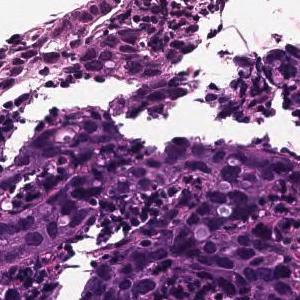
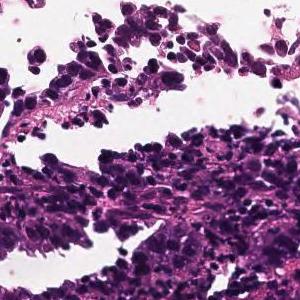
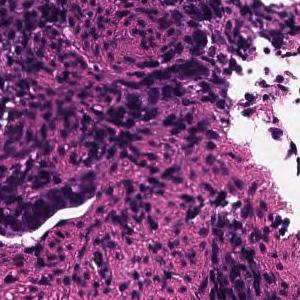
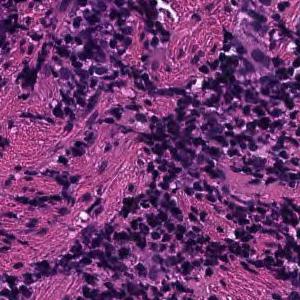
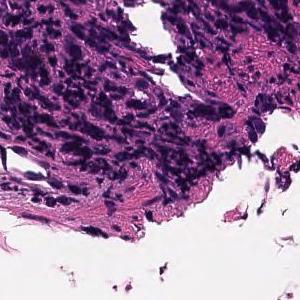
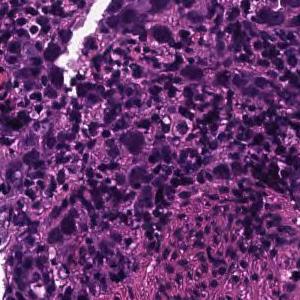
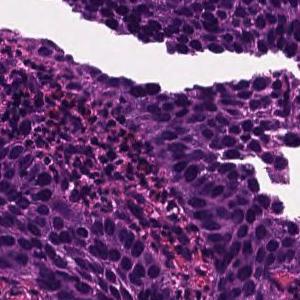
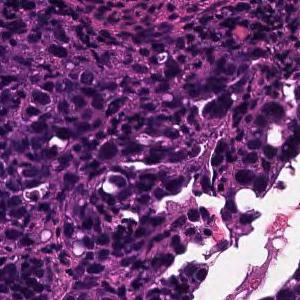
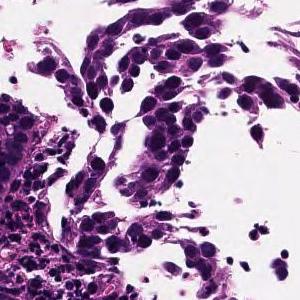
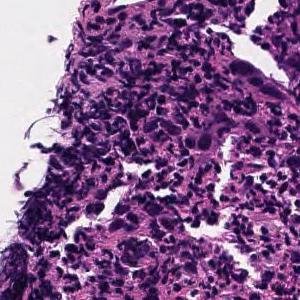
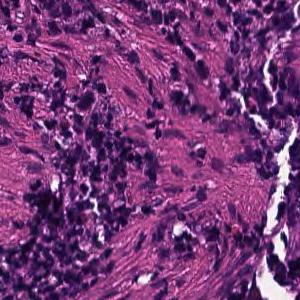
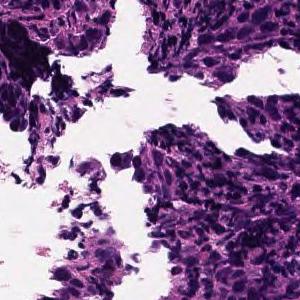
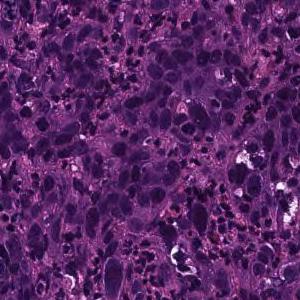
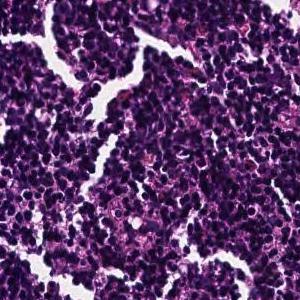
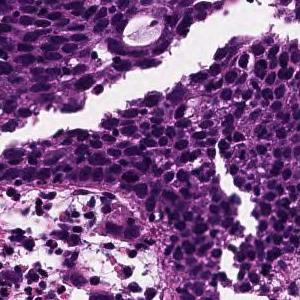
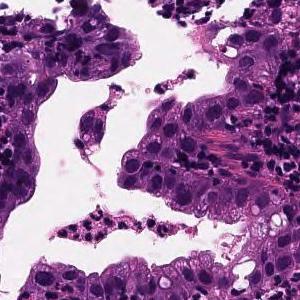
H&E, scanned at ×20, 16 patches cut from one gastric biopsy slide, 300 × 300 pixels each.
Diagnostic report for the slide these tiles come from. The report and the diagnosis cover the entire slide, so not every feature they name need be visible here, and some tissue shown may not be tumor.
Tumor tissue consisting of cord-like or small, irregular glandular ducts fused and infiltrated is observed in the superficial epithelium. Poorly differentiated adenocarcinoma, non-solid type
"Non-solid type" is a category of the Japanese Classification of Gastric Carcinoma.
